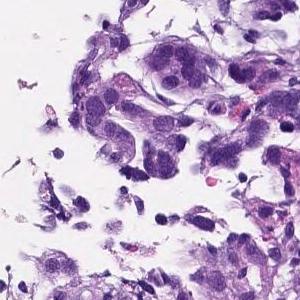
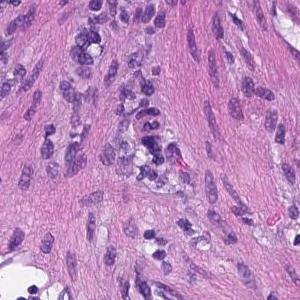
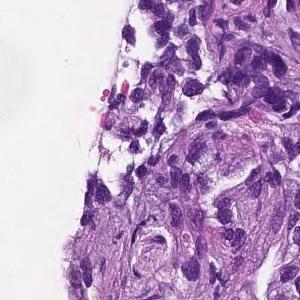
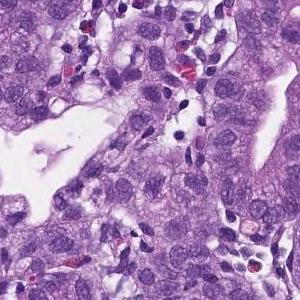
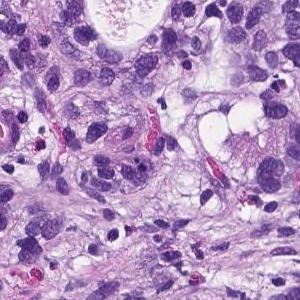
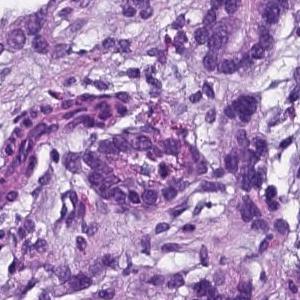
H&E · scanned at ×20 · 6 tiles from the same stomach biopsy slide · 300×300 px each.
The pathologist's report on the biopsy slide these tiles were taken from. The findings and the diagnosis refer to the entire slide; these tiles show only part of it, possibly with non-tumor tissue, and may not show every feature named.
From the superficial epithelium to the muscularis mucosae, tumor tissue consisting of medium-sized and irregular glandular ducts infiltrating is observed. Well differentiated tubular adenocarcinoma
